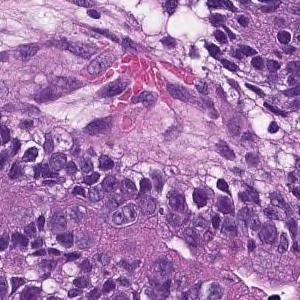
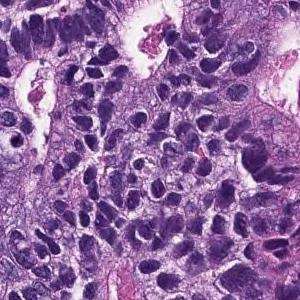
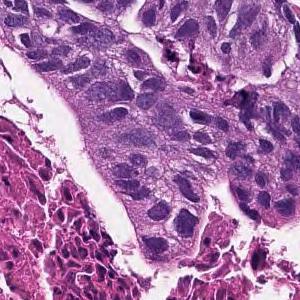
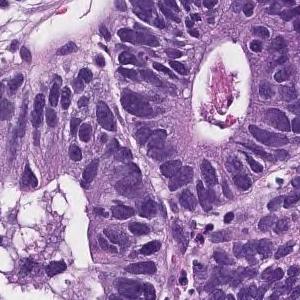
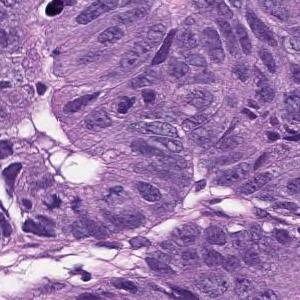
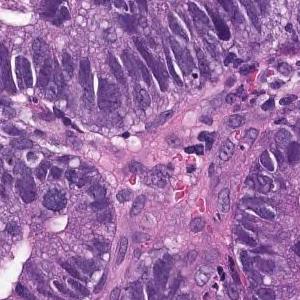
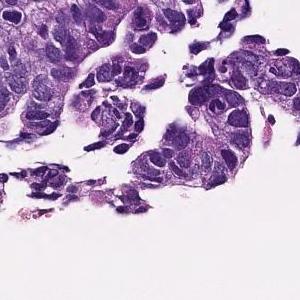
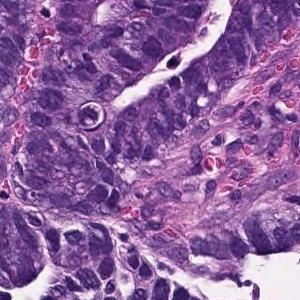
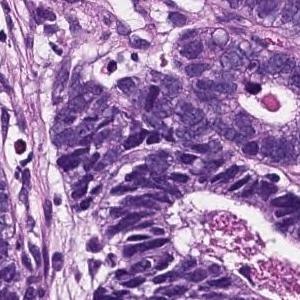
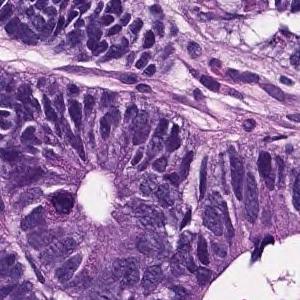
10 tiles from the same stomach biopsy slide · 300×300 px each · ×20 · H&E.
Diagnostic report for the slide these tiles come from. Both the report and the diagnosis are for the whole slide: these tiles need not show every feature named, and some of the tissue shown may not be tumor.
In the superficial epithelium, tumor tissue that invades by forming medium-sized to small, irregular ducts is observed. moderately differentiated tubular adenocarcinoma.
